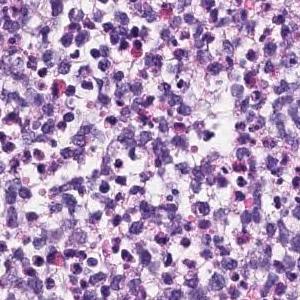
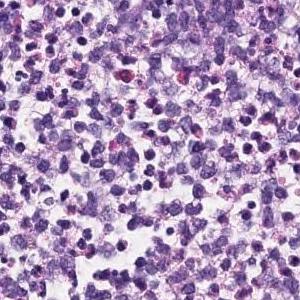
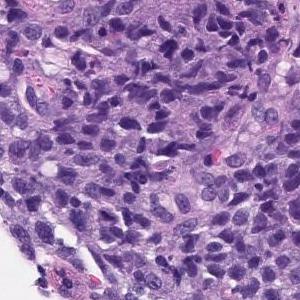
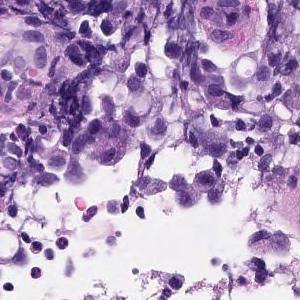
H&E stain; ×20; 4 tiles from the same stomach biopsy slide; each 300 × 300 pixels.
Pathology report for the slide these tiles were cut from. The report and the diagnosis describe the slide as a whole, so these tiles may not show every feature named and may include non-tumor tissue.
The superficial epithelium shows a large sheet-like shape, and some tumor tissue infiltrates with small irregular ducts. Poorly differentiated adenocarcinoma, solid-type
Histologic type: Poorly differentiated adenocarcinoma, solid type. This name comes from the Japanese Classification of Gastric Carcinoma; the WHO 2019 classification calls it tubular adenocarcinoma, poorly differentiated.
